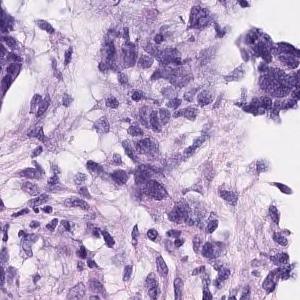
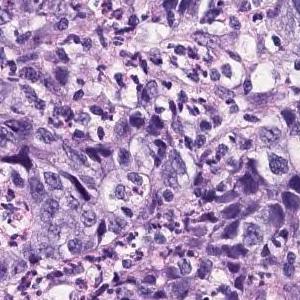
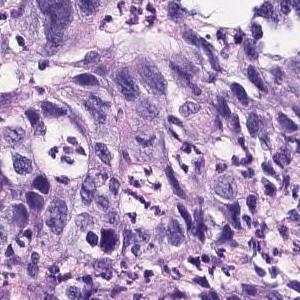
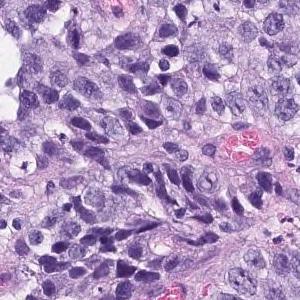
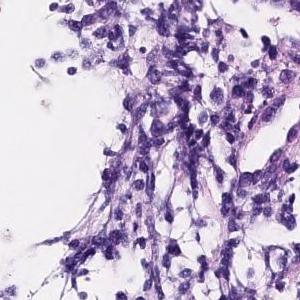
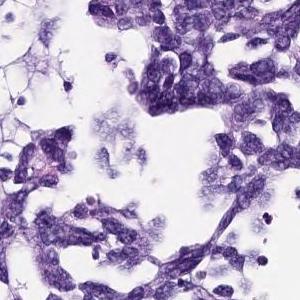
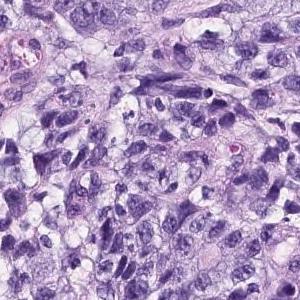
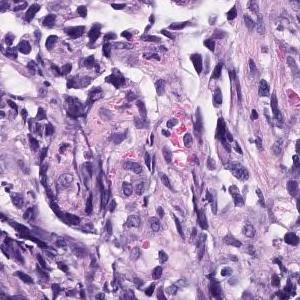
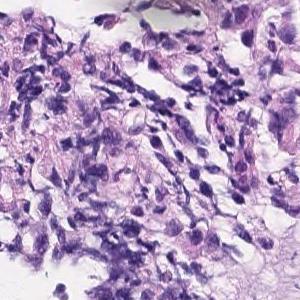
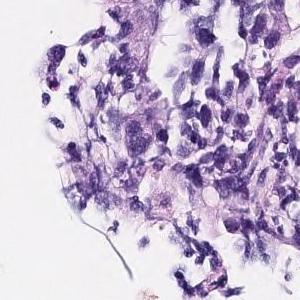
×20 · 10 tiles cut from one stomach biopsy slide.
Report on the slide these tiles come from. The report and the diagnosis cover the entire slide, so not every feature they name need be visible here, and some tissue shown may not be tumor.
The superficial epithelium shows a large sheet-like shape, and some tumor tissue infiltrates with small irregular ducts. Poorly differentiated adenocarcinoma, solid-type
Histological subtype: Poorly differentiated adenocarcinoma, solid type, a category of the Japanese Classification of Gastric Carcinoma; in the WHO 2019 classification it is tubular adenocarcinoma, poorly differentiated.
